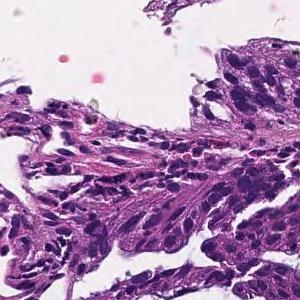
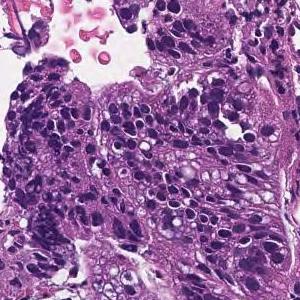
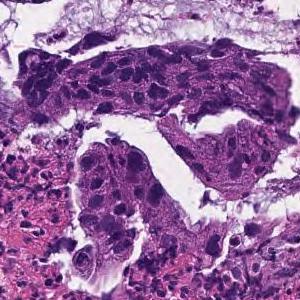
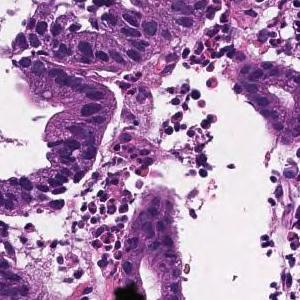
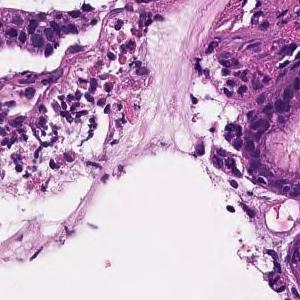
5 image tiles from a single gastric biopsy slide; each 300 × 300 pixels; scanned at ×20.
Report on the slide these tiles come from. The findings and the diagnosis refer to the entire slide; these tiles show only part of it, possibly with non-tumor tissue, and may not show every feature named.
From the superficial epithelium to the muscularis mucosae, tumor tissue consisting of medium-sized and irregular glandular ducts infiltrating is observed. Well differentiated tubular adenocarcinoma
